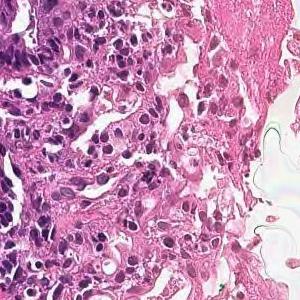
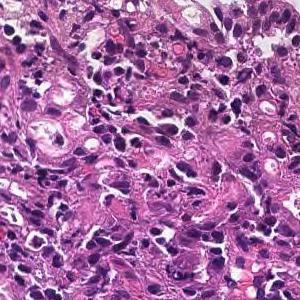
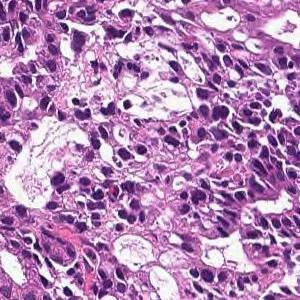
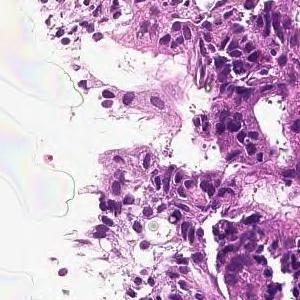
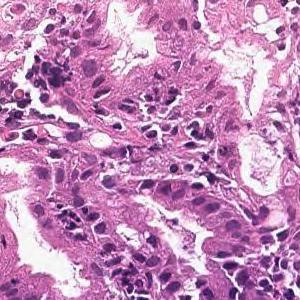
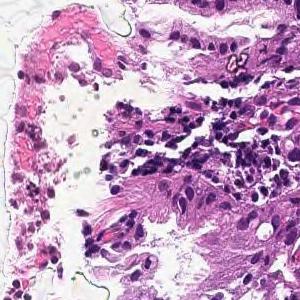
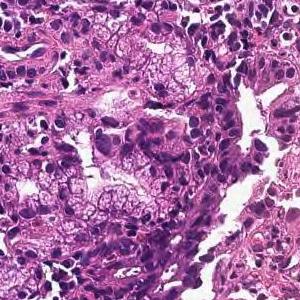
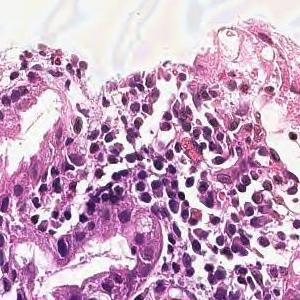
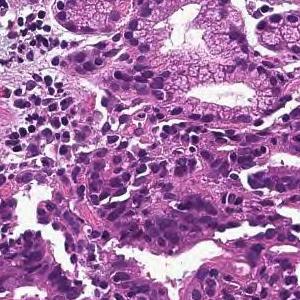
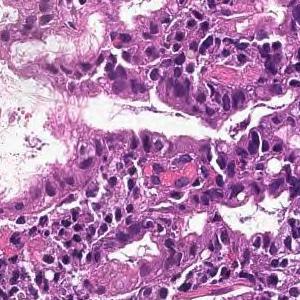
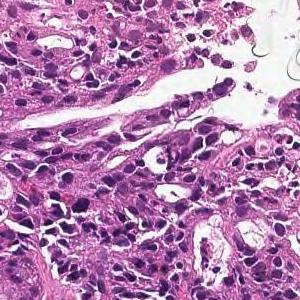
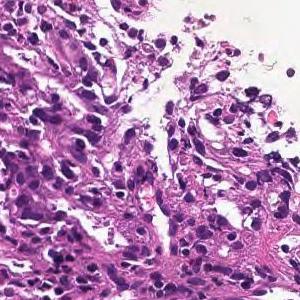
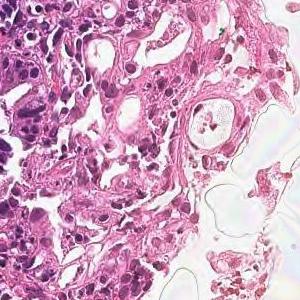
13 tiles cut from one stomach biopsy slide; each 300 × 300 pixels; hematoxylin and eosin stain.
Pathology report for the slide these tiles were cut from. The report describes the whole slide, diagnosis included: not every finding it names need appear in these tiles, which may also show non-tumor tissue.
In the superficial epithelium, tumor tissue that invades by forming medium-sized to small, irregular ducts is observed. moderately differentiated tubular adenocarcinoma.
